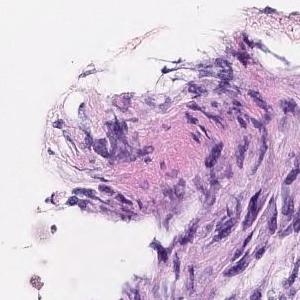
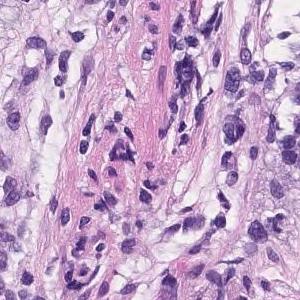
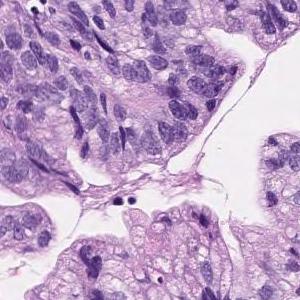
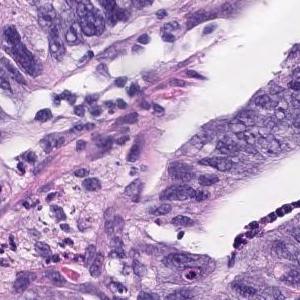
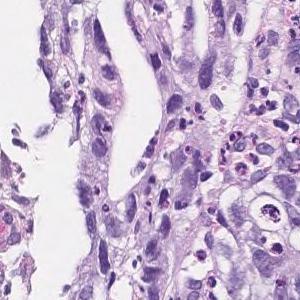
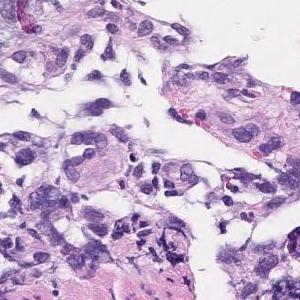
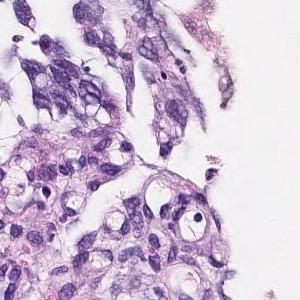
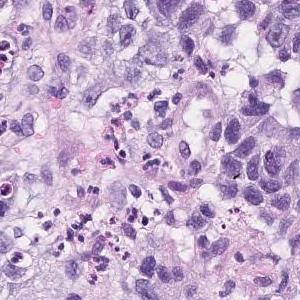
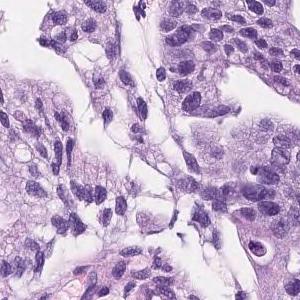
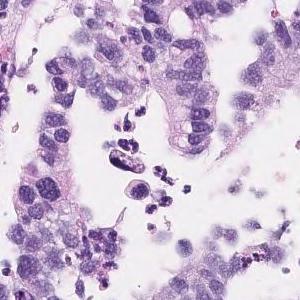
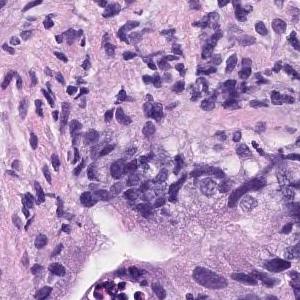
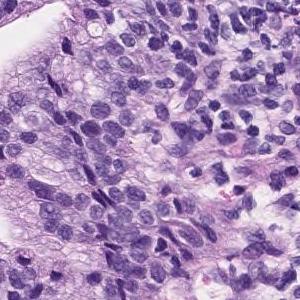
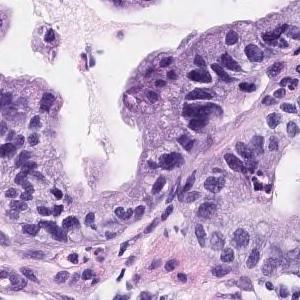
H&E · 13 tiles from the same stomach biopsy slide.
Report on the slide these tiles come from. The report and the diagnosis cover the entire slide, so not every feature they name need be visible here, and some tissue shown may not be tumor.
Tumor cells are large, highly columnar, large club-shaped nuclei, and are associated with chromatin aggregation. Papillary adenocarcinoma.
